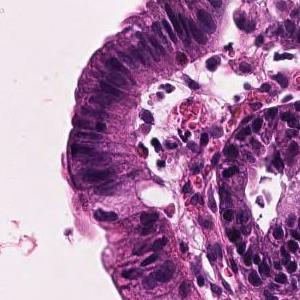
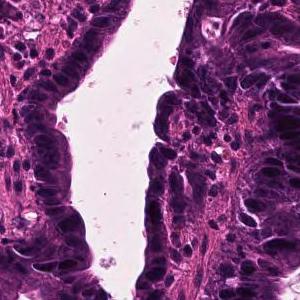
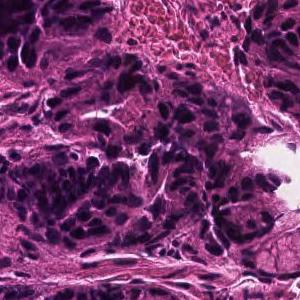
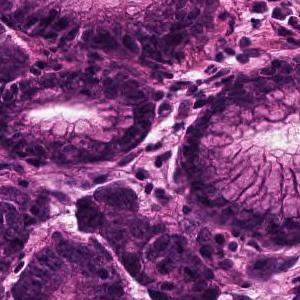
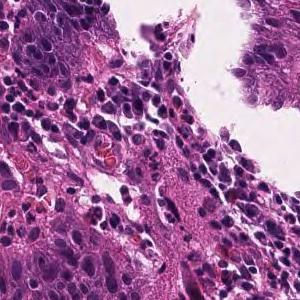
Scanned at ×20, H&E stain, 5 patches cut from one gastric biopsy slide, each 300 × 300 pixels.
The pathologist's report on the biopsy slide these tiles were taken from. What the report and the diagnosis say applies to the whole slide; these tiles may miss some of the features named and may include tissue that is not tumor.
In the superficial epithelium, tumor tissue that invades by forming medium-sized to small, irregular ducts is observed. Well differentiated tubular adenocarcinoma.
